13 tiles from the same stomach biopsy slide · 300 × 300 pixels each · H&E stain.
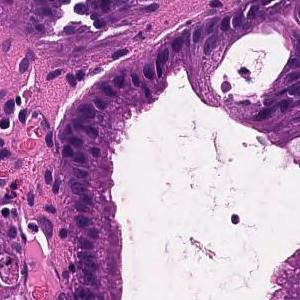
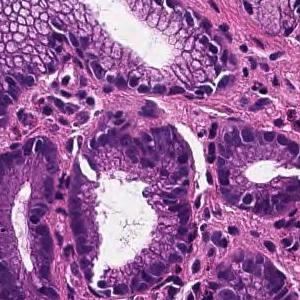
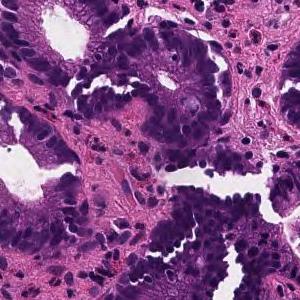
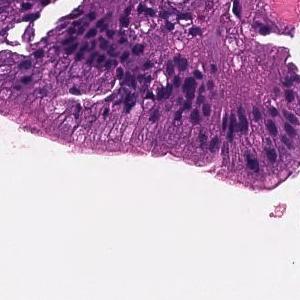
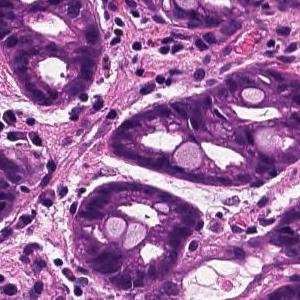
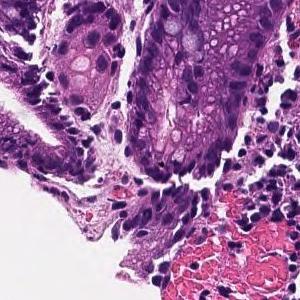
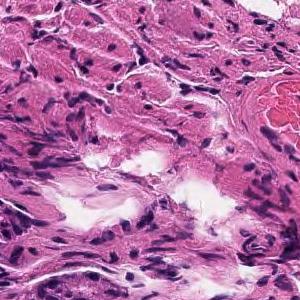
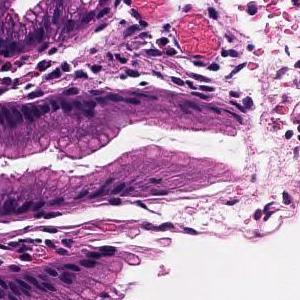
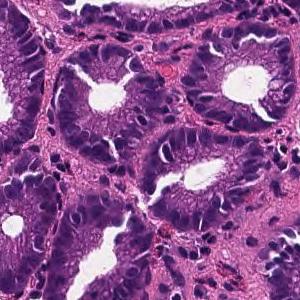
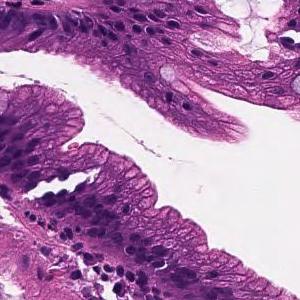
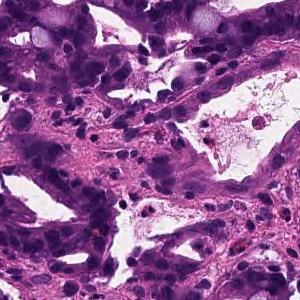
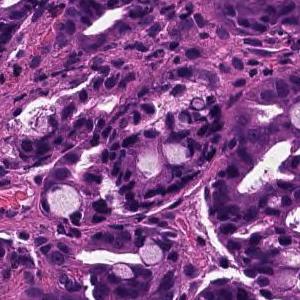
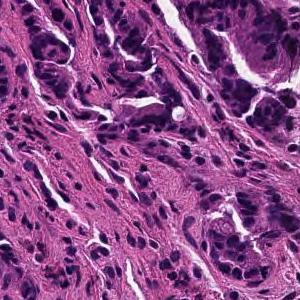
The pathologist's report on the biopsy slide these tiles were taken from. The report and the diagnosis cover the entire slide, so not every feature they name need be visible here, and some tissue shown may not be tumor.
From the superficial epithelium to the muscularis mucosae, tumor tissue consisting of medium-sized and irregular glandular ducts infiltrating is observed. Well differentiated tubular adenocarcinoma
